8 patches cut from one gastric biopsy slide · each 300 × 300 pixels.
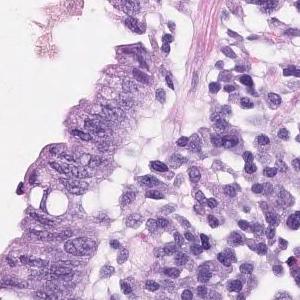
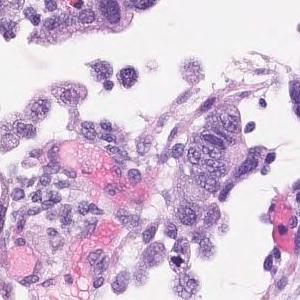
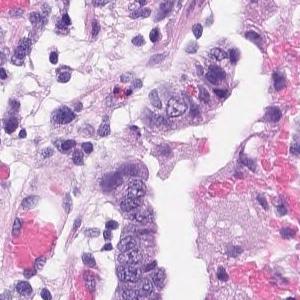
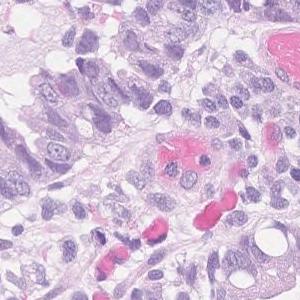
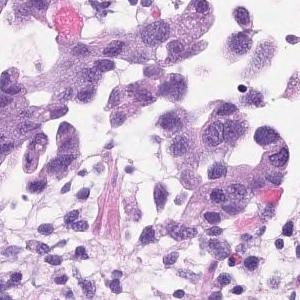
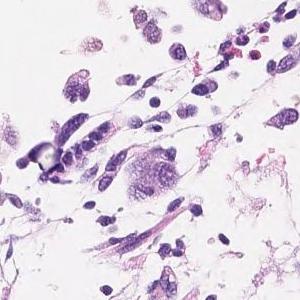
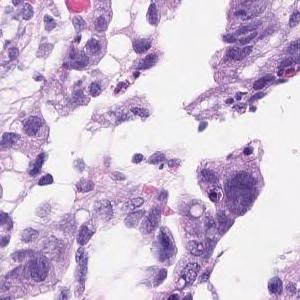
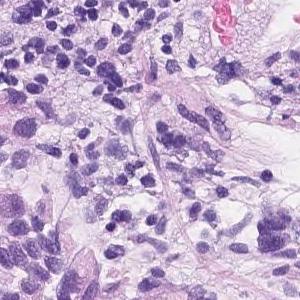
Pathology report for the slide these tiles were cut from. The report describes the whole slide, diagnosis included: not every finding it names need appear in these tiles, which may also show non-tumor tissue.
Atypical l cells with atypical nuclei forming solid or diffuse vesicles or small irregular atypical ducts and growing in a complex manner. poorly differentiated adenocarcinoma, solid type, moderately differentiated tubular adenocarcinoma.
Subtypes: Poorly differentiated adenocarcinoma, solid type and moderately differentiated tubular adenocarcinoma.
The term "solid type" comes from the Japanese Classification of Gastric Carcinoma; the WHO 2019 equivalent is tubular adenocarcinoma, poorly differentiated.
